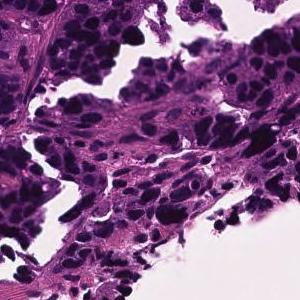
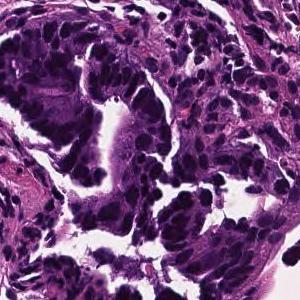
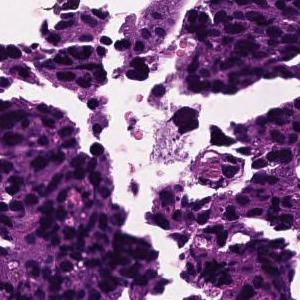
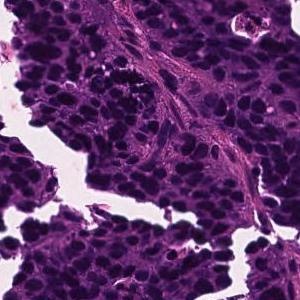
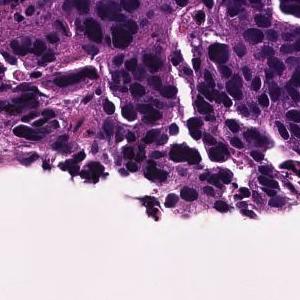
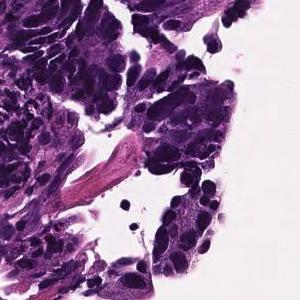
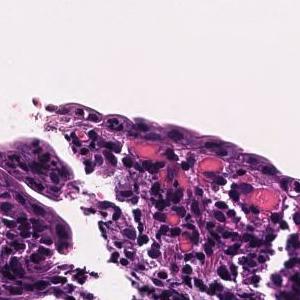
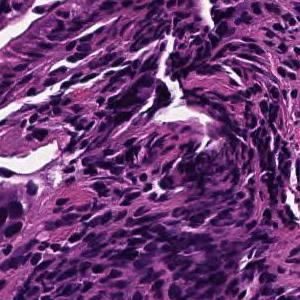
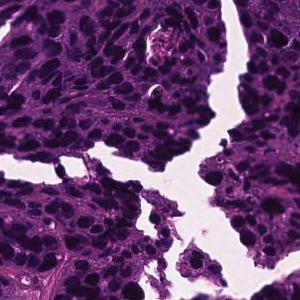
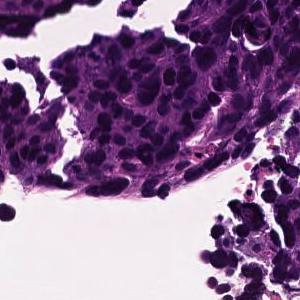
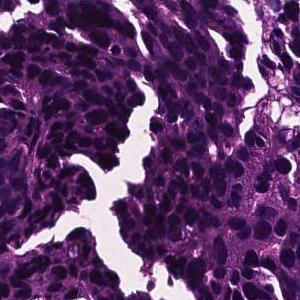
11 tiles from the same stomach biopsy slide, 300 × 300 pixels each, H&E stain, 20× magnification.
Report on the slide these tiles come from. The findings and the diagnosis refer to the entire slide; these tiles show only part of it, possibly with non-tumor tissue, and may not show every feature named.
In the superficial epithelium, medium to small irregular gland ducts are formed, and in some cases, the ducts are fused to show solid alveolar lesions and infiltrating tumor tissue is observed. moderately differentiated tubular adenocarcinoma or poorly differentiated adenocarcinoma, solid-type (poorly differentiated adenocarcinoma, solid type)
Dataset label: poorly differentiated adenocarcinoma, solid type (Japanese Classification of Gastric Carcinoma). The WHO 2019 equivalent is tubular adenocarcinoma, poorly differentiated.
